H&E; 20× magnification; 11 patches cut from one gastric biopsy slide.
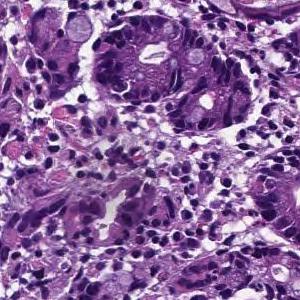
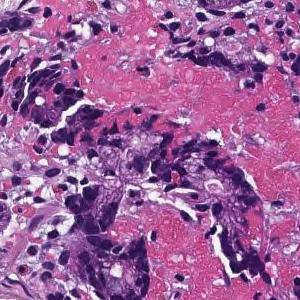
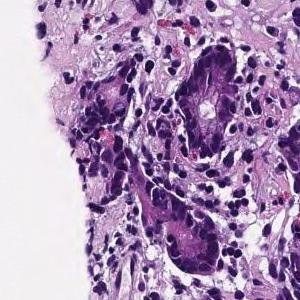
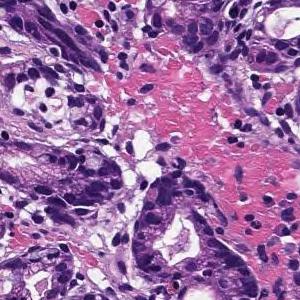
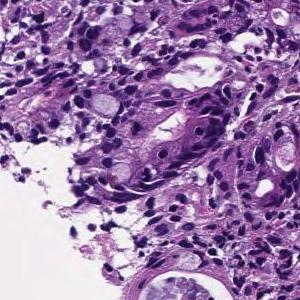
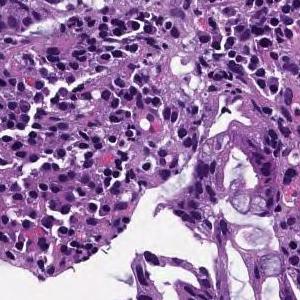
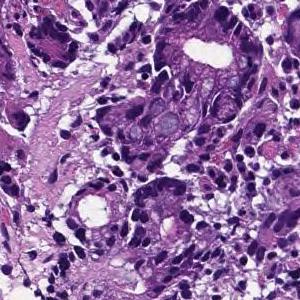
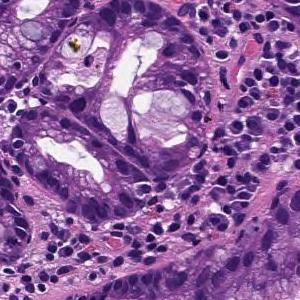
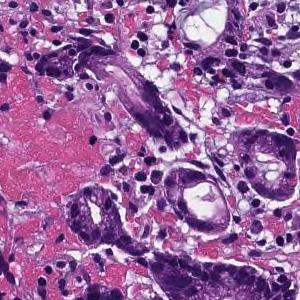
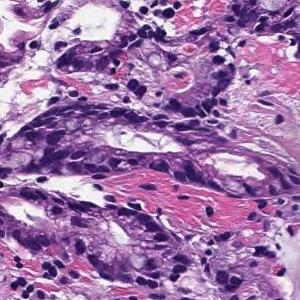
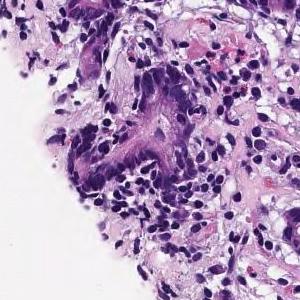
Diagnostic report for the slide these tiles come from. The report and the diagnosis describe the slide as a whole, so these tiles may not show every feature named and may include non-tumor tissue.
Tumor tissue consisting of medium-sized, cord-like or irregular glandular infiltration is observed in the superficial epithelium. Poorly differentiated adenocarcinoma, non-solid type or moderately differentiated tubular adenocarcinoma
Subtype: Moderately to poorly differentiated adenocarcinoma.
The term "non-solid type" comes from the Japanese Classification of Gastric Carcinoma.
